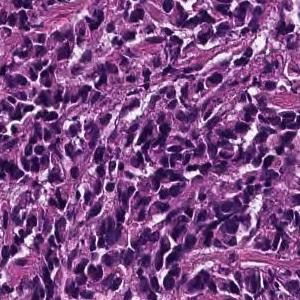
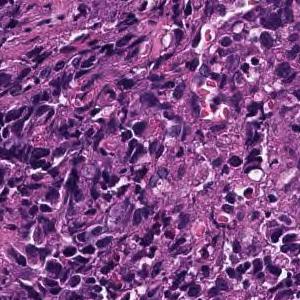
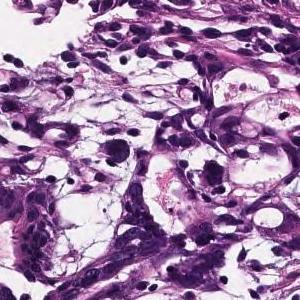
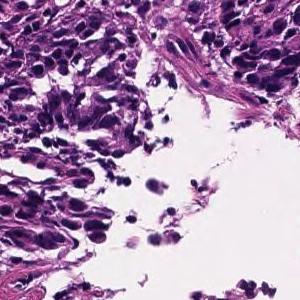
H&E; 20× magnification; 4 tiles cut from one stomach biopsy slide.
Pathology report for the slide these tiles were cut from. Both the report and the diagnosis are for the whole slide: these tiles need not show every feature named, and some of the tissue shown may not be tumor.
Poorly differentiated, solid adenocarcinoma (poorly differentiated adenocarcinoma, solid type) with tumor tissue diffusely infiltrated with atypical epithelial cells
Histological subtype: Poorly differentiated adenocarcinoma, solid type, a category of the Japanese Classification of Gastric Carcinoma; in the WHO 2019 classification it is tubular adenocarcinoma, poorly differentiated.
